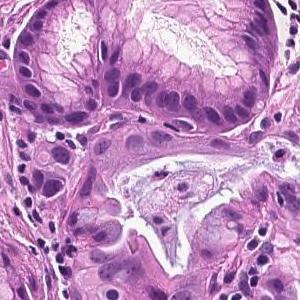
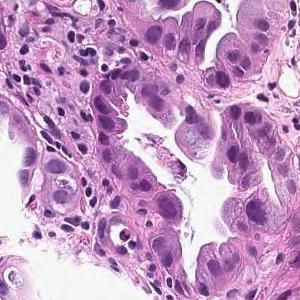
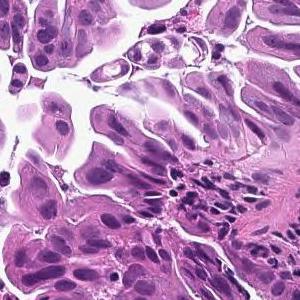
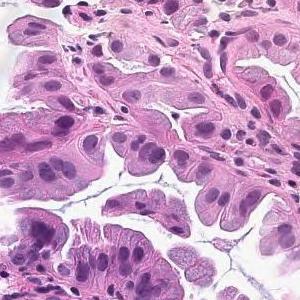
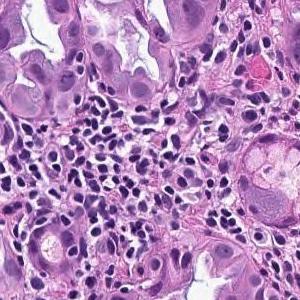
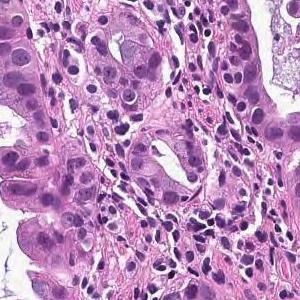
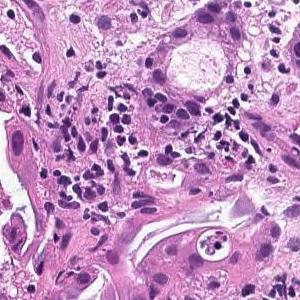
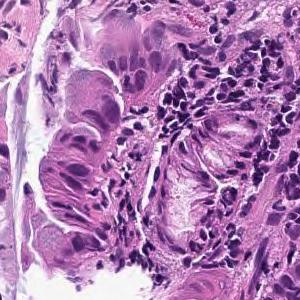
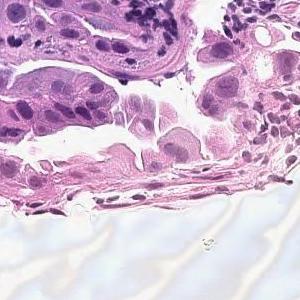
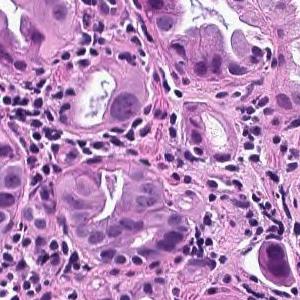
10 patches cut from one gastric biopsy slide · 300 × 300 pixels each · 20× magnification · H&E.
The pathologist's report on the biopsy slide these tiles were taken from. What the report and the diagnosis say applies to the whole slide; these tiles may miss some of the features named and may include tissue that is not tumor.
From the superficial epithelium to the muscularis mucosae, tumor tissue consisting of medium-sized and irregular glandular ducts infiltrating is observed. Well differentiated tubular adenocarcinoma
